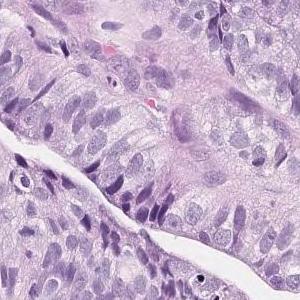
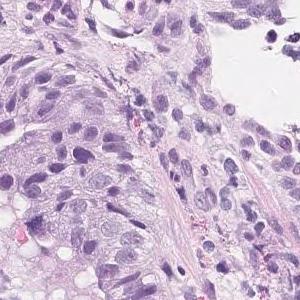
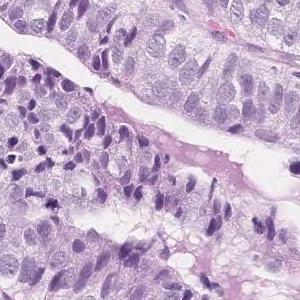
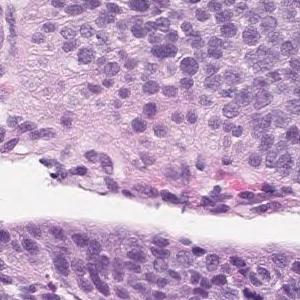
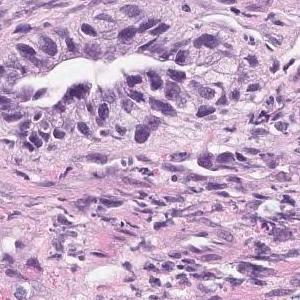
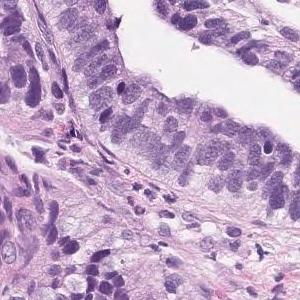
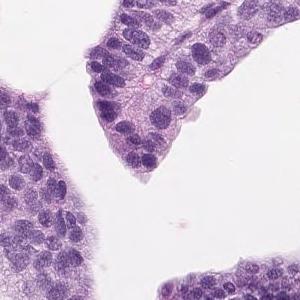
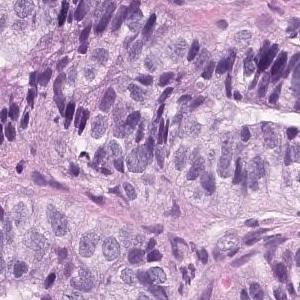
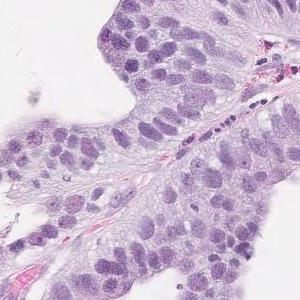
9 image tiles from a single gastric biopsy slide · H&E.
Pathology report for the biopsy slide these tiles were cut from. The report and the diagnosis cover the entire slide, so not every feature they name need be visible here, and some tissue shown may not be tumor.
Tumor tissue in which highly columnar atypical epithelial cells with nuclear enlargement and increased nuclear chromatin show papillary to papillary ductal structure and proliferate is observed. Papillary adenocarcinoma.
